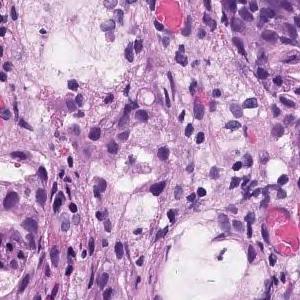
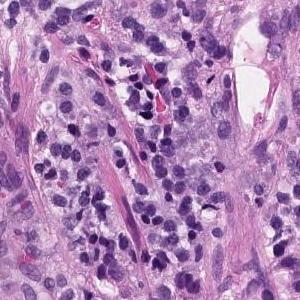
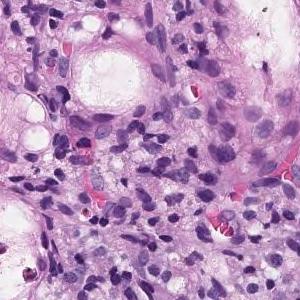
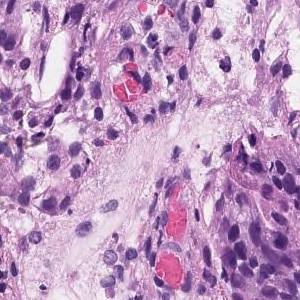
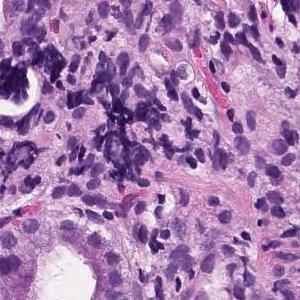
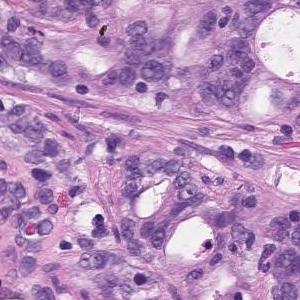
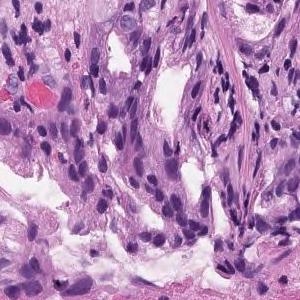
7 tiles cut from one stomach biopsy slide · 300×300 px each · ×20.
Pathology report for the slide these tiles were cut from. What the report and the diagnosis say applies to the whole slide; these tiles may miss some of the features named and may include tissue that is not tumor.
In the superficial epithelium, tumor tissue that invades by forming medium-sized to small, irregular ducts is observed. Moderately differentiated adenocarcinoma.
Subtype: Moderately differentiated tubular adenocarcinoma.
